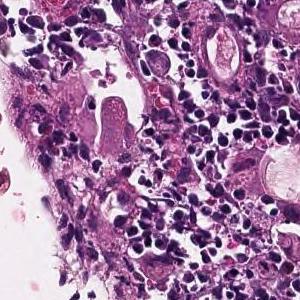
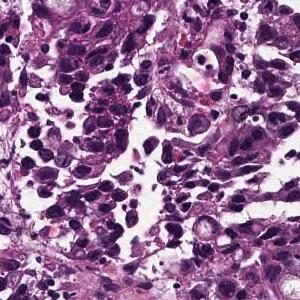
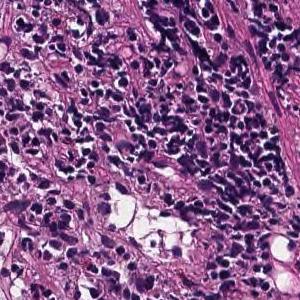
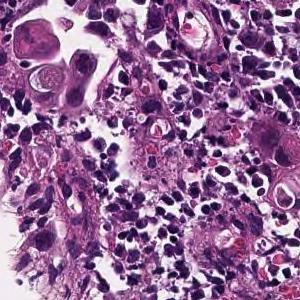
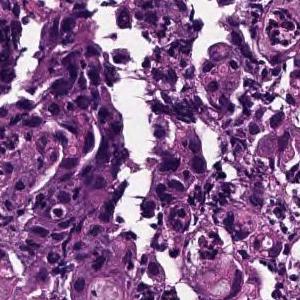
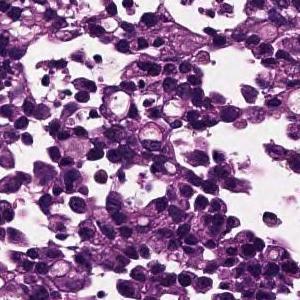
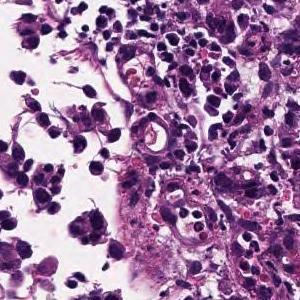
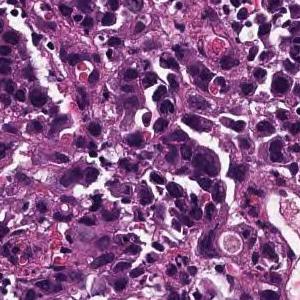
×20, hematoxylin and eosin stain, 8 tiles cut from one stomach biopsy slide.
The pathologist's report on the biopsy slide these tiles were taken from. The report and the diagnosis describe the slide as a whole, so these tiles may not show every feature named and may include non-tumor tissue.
The superficial epithelium shows a large sheet-like shape, and some tumor tissue infiltrates with small irregular ducts. Poorly differentiated adenocarcinoma, solid-type
Classified as poorly differentiated adenocarcinoma, solid type (Japanese Classification of Gastric Carcinoma). The WHO 2019 equivalent is tubular adenocarcinoma, poorly differentiated.
